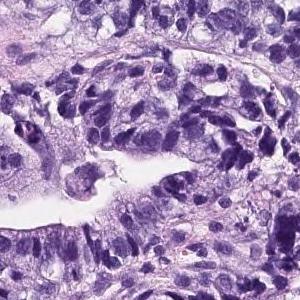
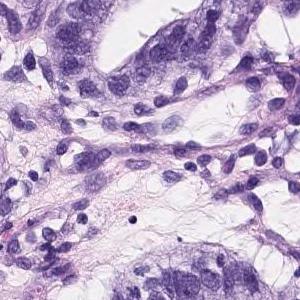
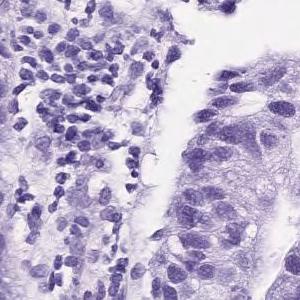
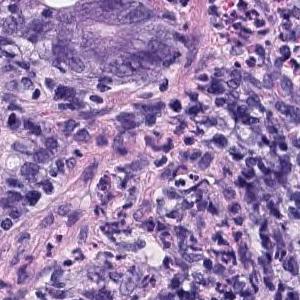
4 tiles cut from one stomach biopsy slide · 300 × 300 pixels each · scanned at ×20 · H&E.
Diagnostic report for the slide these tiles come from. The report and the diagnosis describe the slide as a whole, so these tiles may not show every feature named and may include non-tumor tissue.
On the superficial epithelium, tumor tissue consisting of medium to small irregular tubules partially fused and proliferated is observed. moderately differentiated tubular adenocarcinoma
